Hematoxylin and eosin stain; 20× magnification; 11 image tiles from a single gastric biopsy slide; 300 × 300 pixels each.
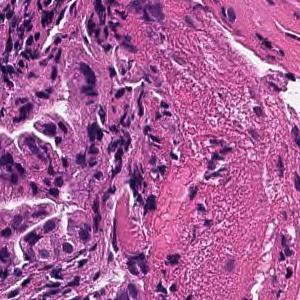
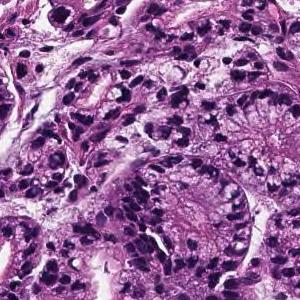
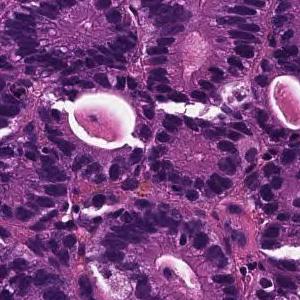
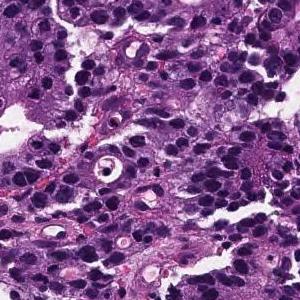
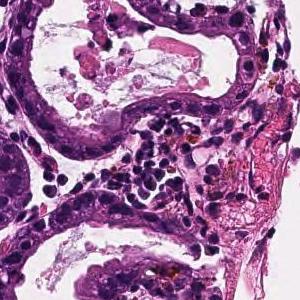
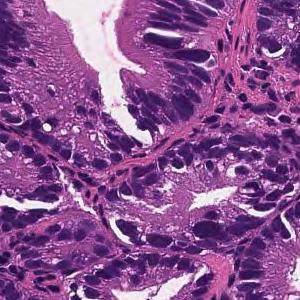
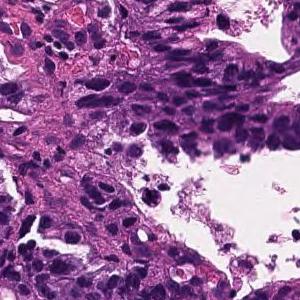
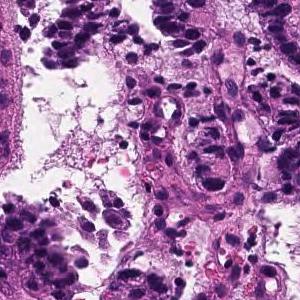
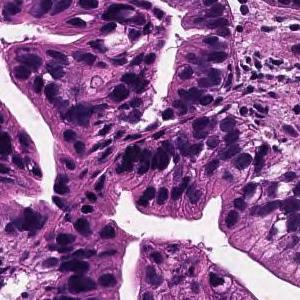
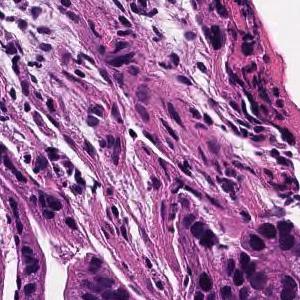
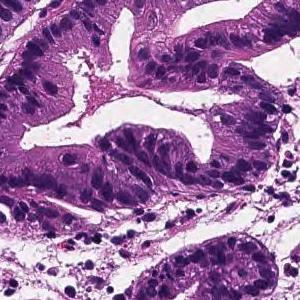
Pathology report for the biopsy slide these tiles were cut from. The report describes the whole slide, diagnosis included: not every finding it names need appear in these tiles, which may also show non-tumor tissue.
From the superficial epithelium to the muscularis mucosae, tumor tissue consisting of medium-sized and irregular glandular ducts infiltrating is observed. Well differentiated tubular adenocarcinoma
